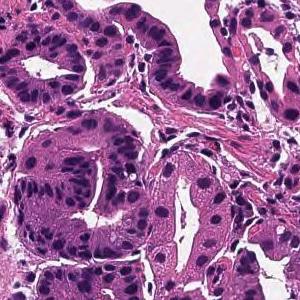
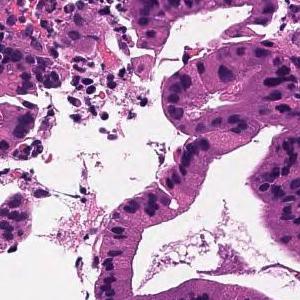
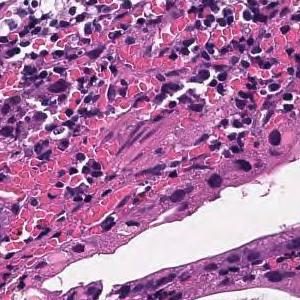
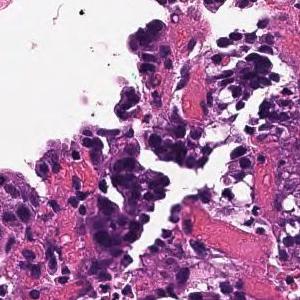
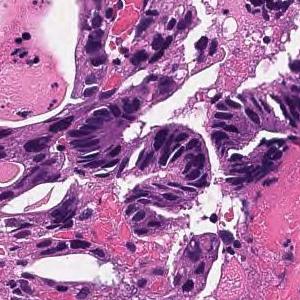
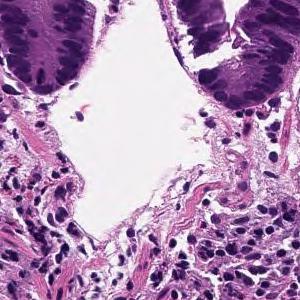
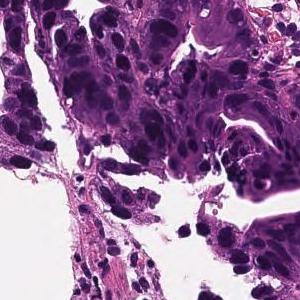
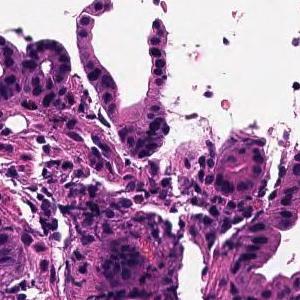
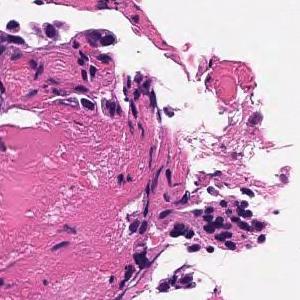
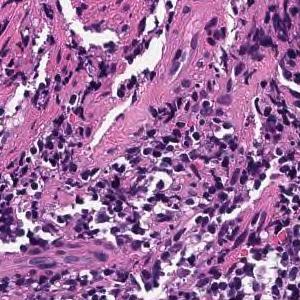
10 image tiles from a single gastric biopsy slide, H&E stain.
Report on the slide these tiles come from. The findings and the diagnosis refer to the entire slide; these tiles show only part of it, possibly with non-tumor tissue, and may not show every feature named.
Tumor cells are large, highly columnar, large club-shaped nuclei, and are associated with chromatin aggregation. Papillary adenocarcinoma.
